5 tiles cut from one stomach biopsy slide; hematoxylin and eosin stain; ×20.
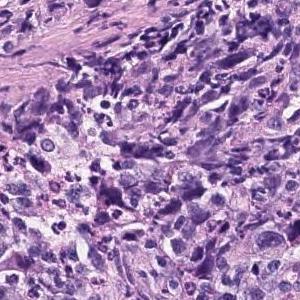
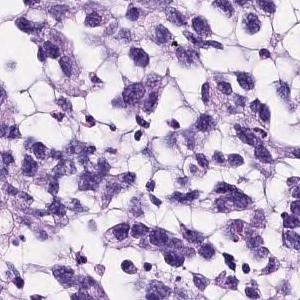
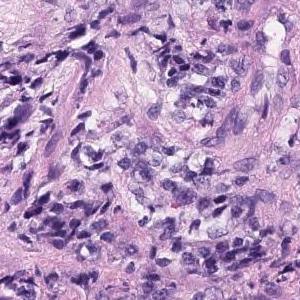
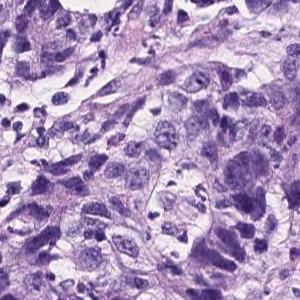
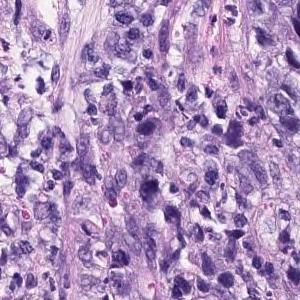
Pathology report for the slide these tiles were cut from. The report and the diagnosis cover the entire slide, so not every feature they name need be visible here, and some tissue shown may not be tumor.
The superficial epithelium shows a large sheet-like shape, and some tumor tissue infiltrates with small irregular ducts. Poorly differentiated adenocarcinoma, solid-type
Histological subtype: Poorly differentiated adenocarcinoma, solid type (Japanese Classification of Gastric Carcinoma). The WHO 2019 equivalent is tubular adenocarcinoma, poorly differentiated.
